Hematoxylin and eosin stain · scanned at ×20 · 8 tiles cut from one stomach biopsy slide.
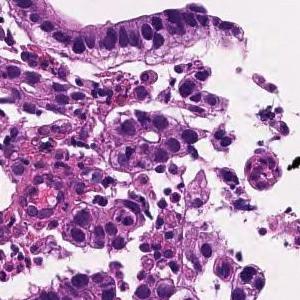
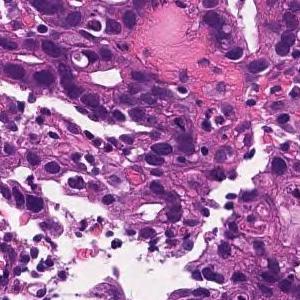
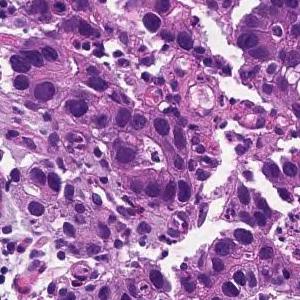
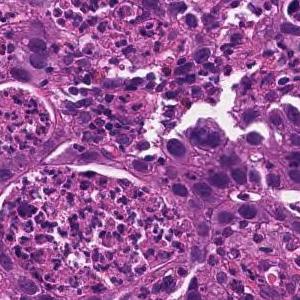
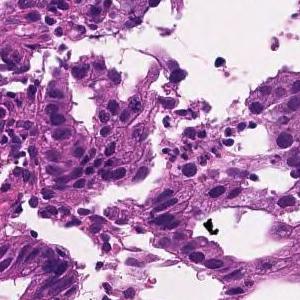
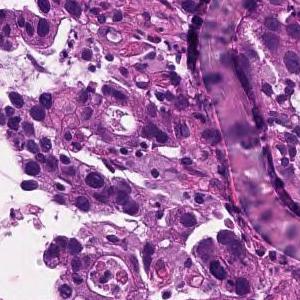
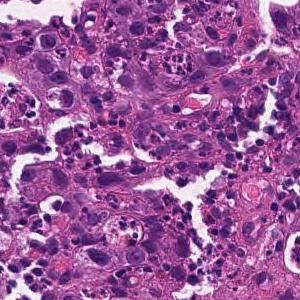
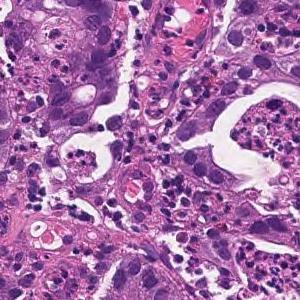
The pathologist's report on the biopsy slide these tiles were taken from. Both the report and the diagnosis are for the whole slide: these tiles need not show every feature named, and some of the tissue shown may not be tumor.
Medium to small, irregular glandular ducts are formed in the superficial epithelium, and in some cases, the glandular ducts are fused to show solid alveolar lesions and infiltrating tumor tissue is observed. Moderately to poorly differentiated adenocarcinoma.
